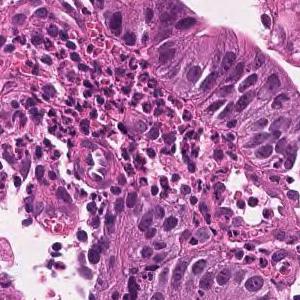
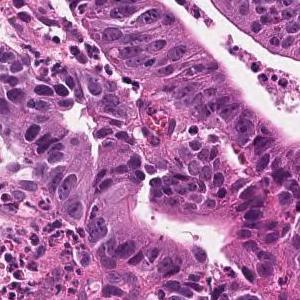
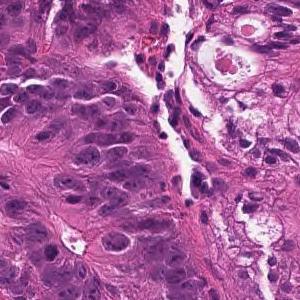
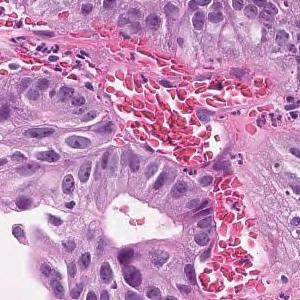
20× magnification; hematoxylin and eosin stain; 4 tiles from the same stomach biopsy slide; 300×300 px each.
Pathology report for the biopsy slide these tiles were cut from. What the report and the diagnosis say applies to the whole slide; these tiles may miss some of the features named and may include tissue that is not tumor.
Tumor cells are large, highly columnar, large club-shaped nuclei, and are associated with chromatin aggregation. Papillary adenocarcinoma.
